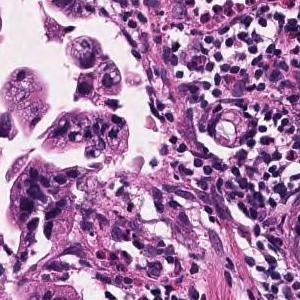
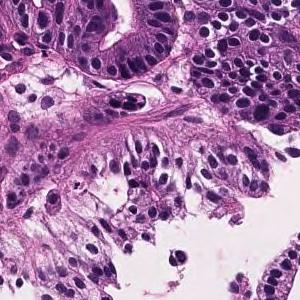
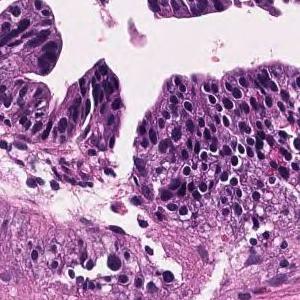
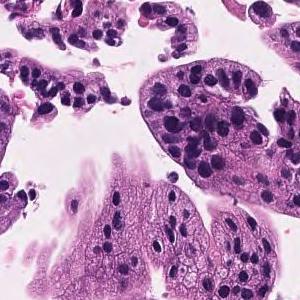
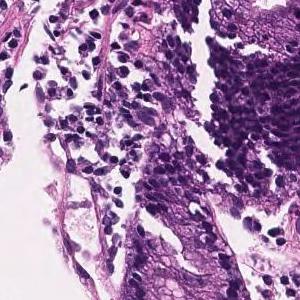
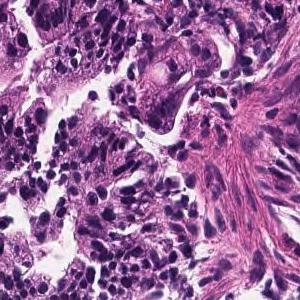
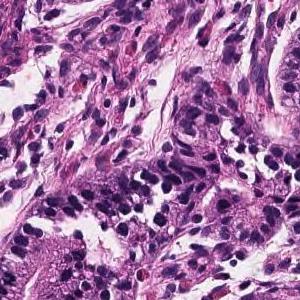
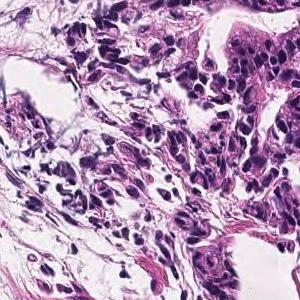
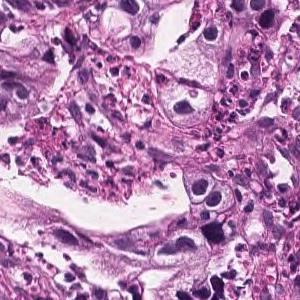
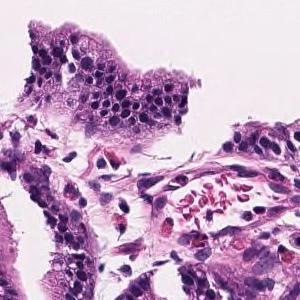
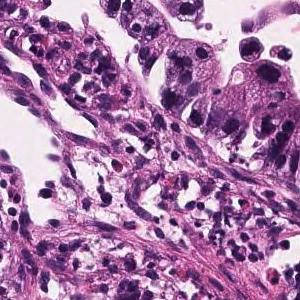
11 image tiles from a single gastric biopsy slide, each 300 × 300 pixels, scanned at ×20, H&E stain.
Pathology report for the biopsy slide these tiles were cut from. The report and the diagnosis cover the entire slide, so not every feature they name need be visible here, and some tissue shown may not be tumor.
Tumor tissue consisting of large papillary structures or irregular glandular ducts partially fused and infiltrated is observed in the superficial epithelium. Well to moderately differentiated tubular adenocarcinoma.
The dataset labels this slide moderately differentiated tubular adenocarcinoma.
